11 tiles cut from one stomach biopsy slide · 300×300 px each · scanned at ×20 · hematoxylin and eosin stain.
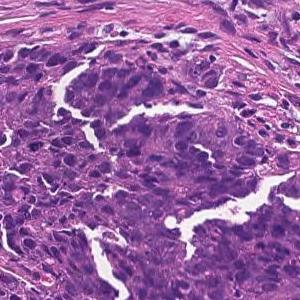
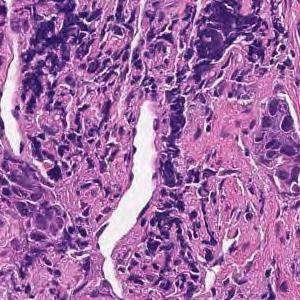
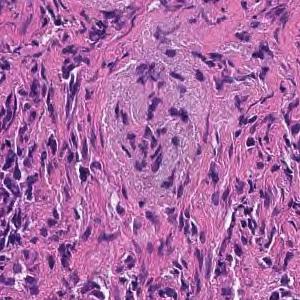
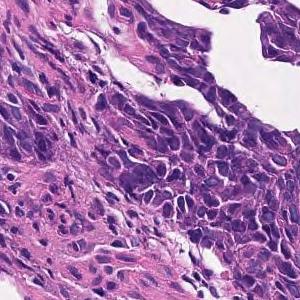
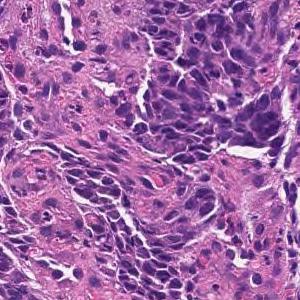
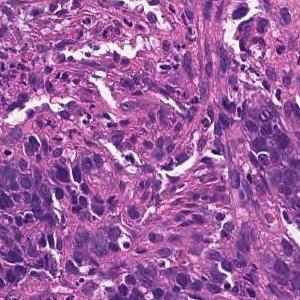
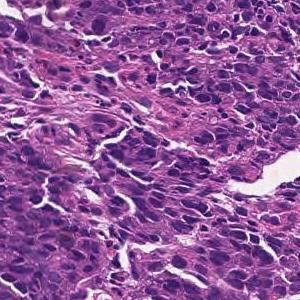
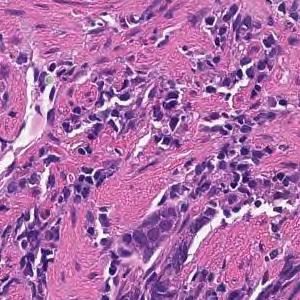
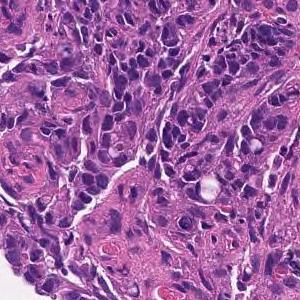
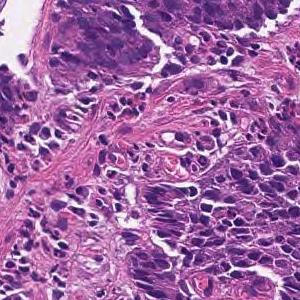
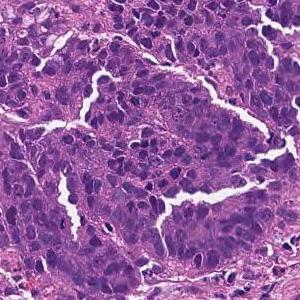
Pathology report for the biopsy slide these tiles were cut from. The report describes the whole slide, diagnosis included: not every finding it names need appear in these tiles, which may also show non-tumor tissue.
Tumor tissue consisting of cord-like or small, irregular glandular ducts fused and infiltrated is observed in the superficial epithelium. Poorly differentiated adenocarcinoma, non-solid type
The non-solid type named here is a Japanese Classification of Gastric Carcinoma category.
